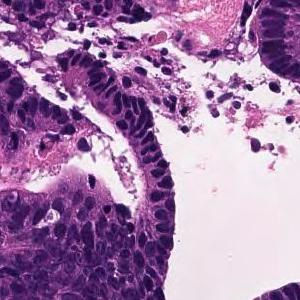
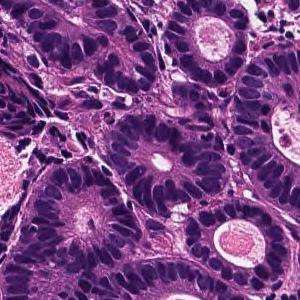
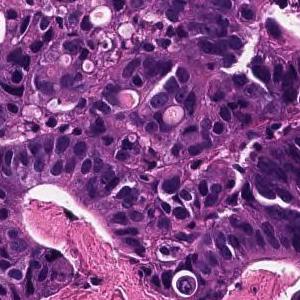
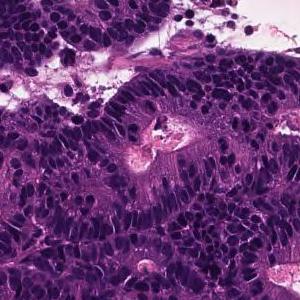
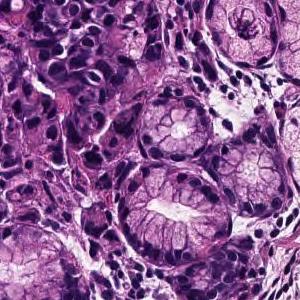
5 tiles from the same stomach biopsy slide; each 300 × 300 pixels; 20× magnification; H&E stain.
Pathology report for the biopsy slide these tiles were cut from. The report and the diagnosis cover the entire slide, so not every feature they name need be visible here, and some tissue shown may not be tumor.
In the superficial epithelium, tumor tissue that invades by forming medium-sized to small, irregular ducts is observed. moderately differentiated tubular adenocarcinoma.
